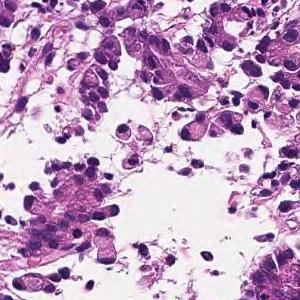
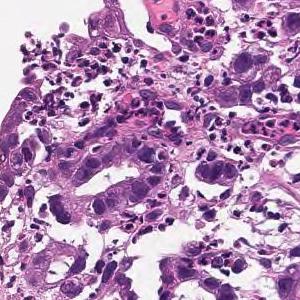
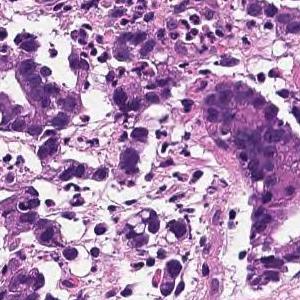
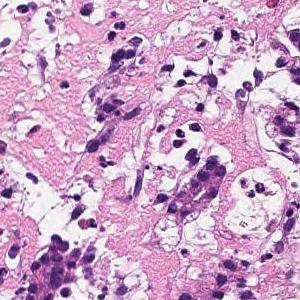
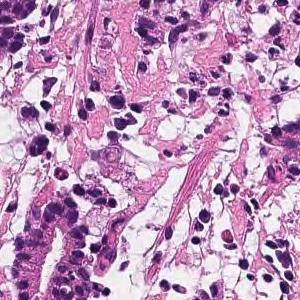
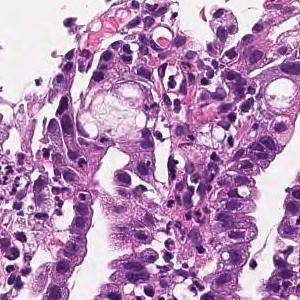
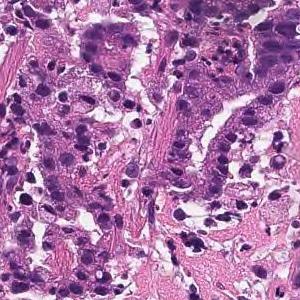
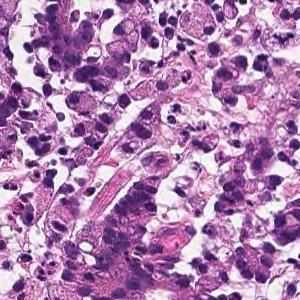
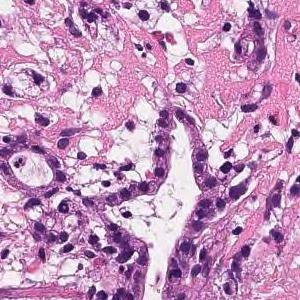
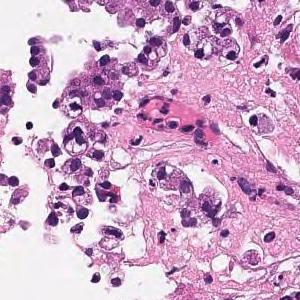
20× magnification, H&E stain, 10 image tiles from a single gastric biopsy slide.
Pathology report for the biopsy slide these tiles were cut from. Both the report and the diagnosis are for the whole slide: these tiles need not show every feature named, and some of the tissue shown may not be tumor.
In the superficial epithelium, tumor tissue that invades by forming medium-sized to small, irregular ducts is observed. moderately differentiated tubular adenocarcinoma.
